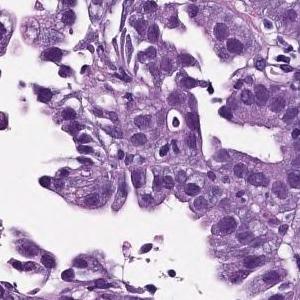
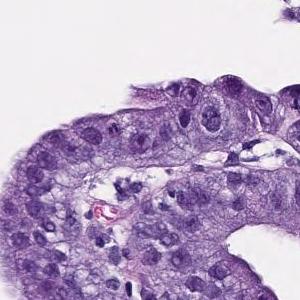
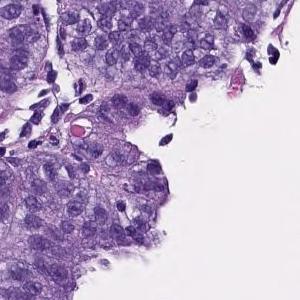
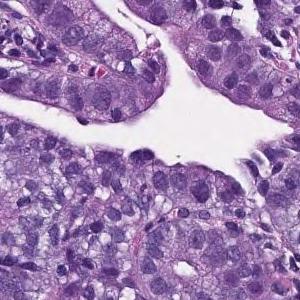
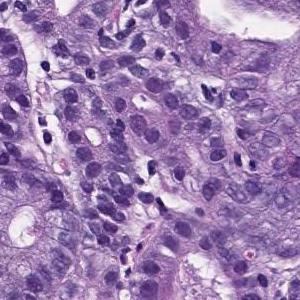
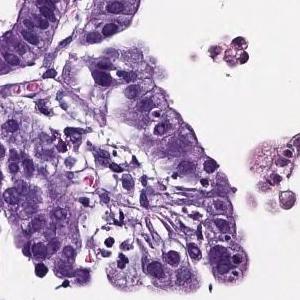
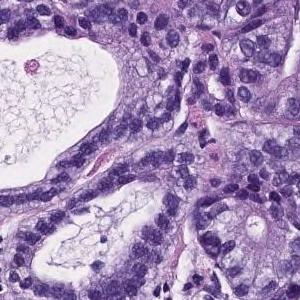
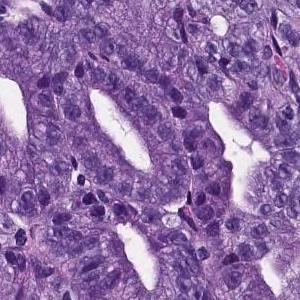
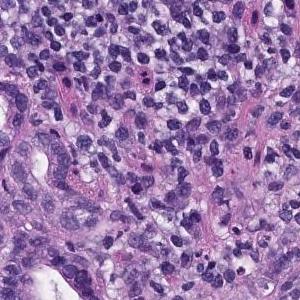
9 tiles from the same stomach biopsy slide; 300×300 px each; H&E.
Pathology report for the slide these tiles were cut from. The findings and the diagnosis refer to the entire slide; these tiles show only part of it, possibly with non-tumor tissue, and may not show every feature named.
On the superficial epithelium, tumor tissue that infiltrates by forming medium-sized papillary or small irregular ducts is observed. Papillary adenocarcinoma
